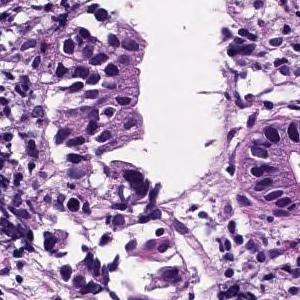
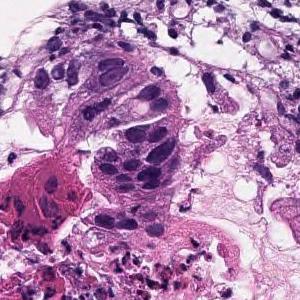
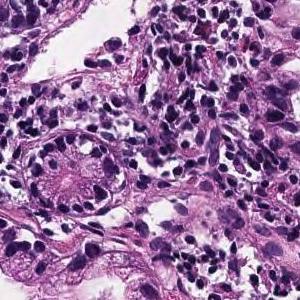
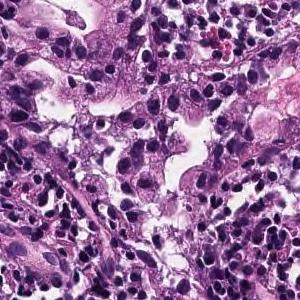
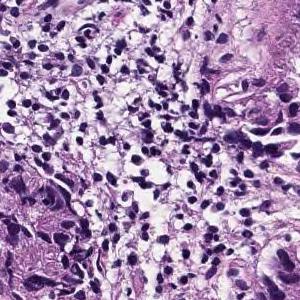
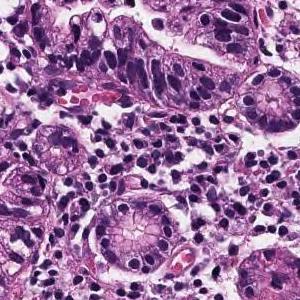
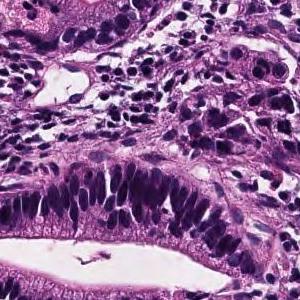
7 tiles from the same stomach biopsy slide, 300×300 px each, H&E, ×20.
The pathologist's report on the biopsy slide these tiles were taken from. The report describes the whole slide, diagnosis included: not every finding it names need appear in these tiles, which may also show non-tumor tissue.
From the superficial epithelium to the muscularis mucosae, tumor tissue consisting of medium-sized and irregular glandular ducts infiltrating is observed. Well differentiated tubular adenocarcinoma
